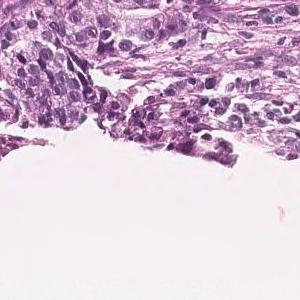
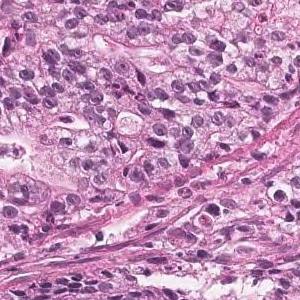
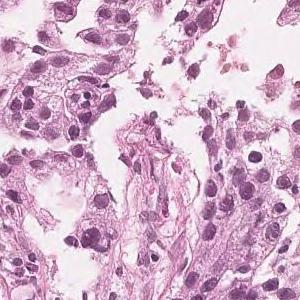
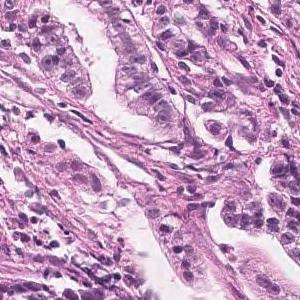
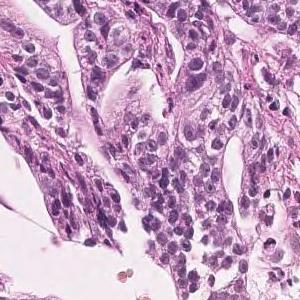
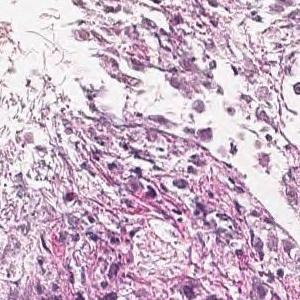
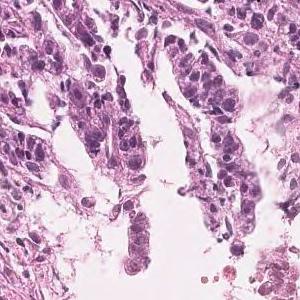
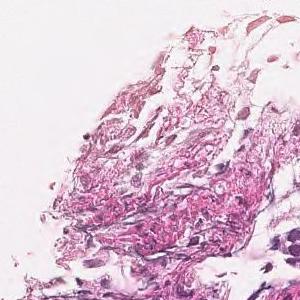
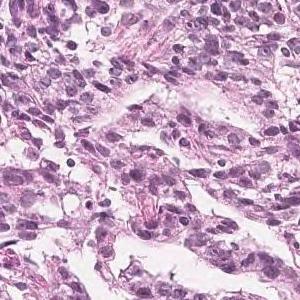
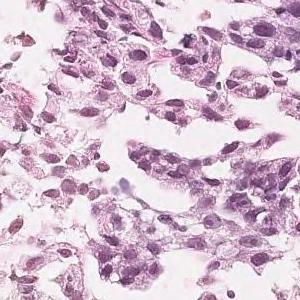
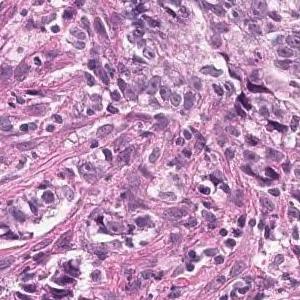
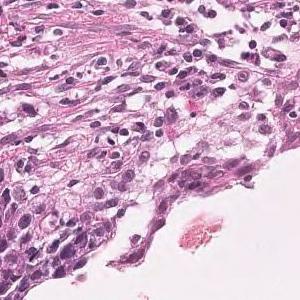
12 image tiles from a single gastric biopsy slide.
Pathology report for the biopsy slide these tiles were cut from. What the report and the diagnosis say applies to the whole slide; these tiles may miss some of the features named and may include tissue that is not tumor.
Tumor tissue in which highly columnar atypical epithelial cells with nuclear enlargement and increased nuclear chromatin show papillary to papillary ductal structure and proliferate is observed. Papillary adenocarcinoma.
